20× magnification · hematoxylin and eosin stain · 13 tiles cut from one stomach biopsy slide · 300 × 300 pixels each.
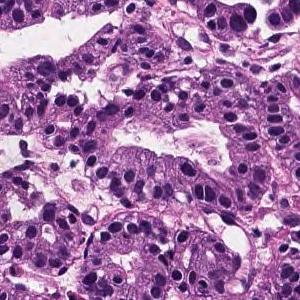
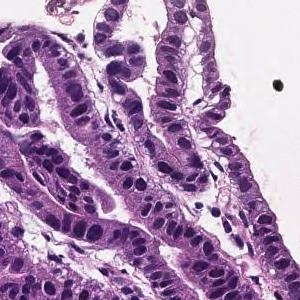
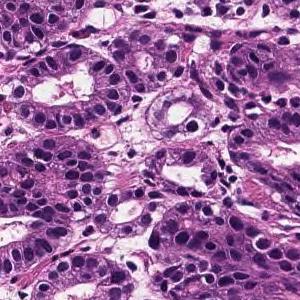
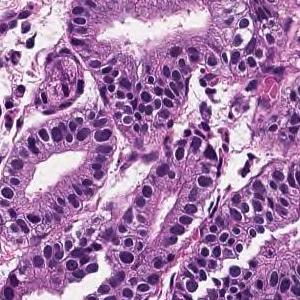
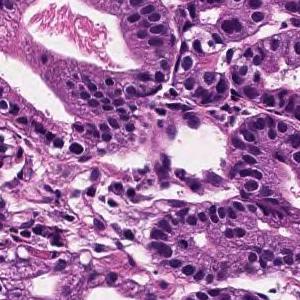
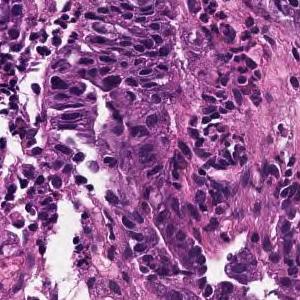
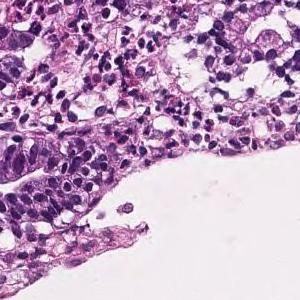
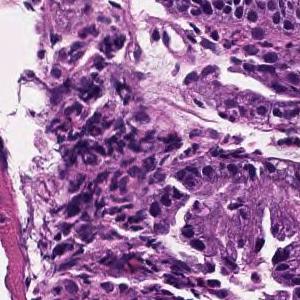
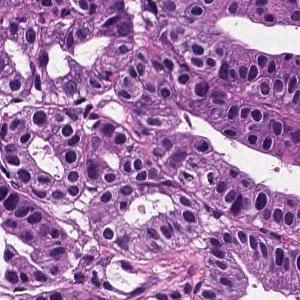
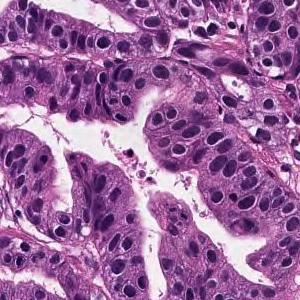
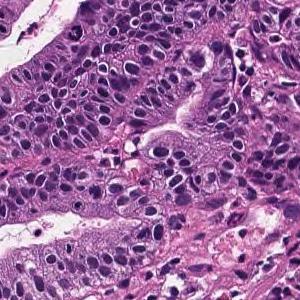
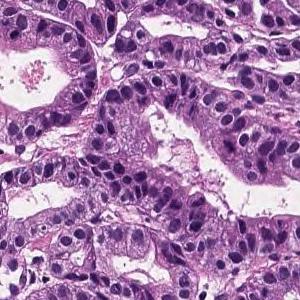
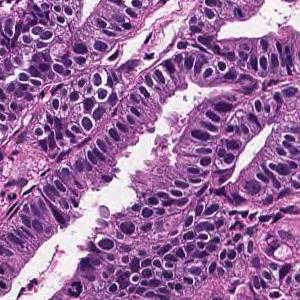
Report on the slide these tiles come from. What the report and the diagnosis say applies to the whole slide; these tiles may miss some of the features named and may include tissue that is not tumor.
On the superficial epithelium, tumor tissue that infiltrates by forming medium-sized round or small irregular ducts is observed. Papillary adenocarcinoma
